×20 · H&E · 15 image tiles from a single gastric biopsy slide · 300 × 300 pixels each.
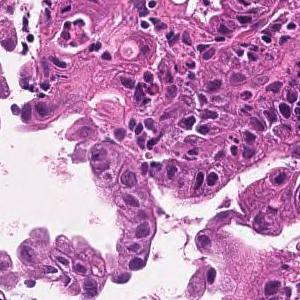
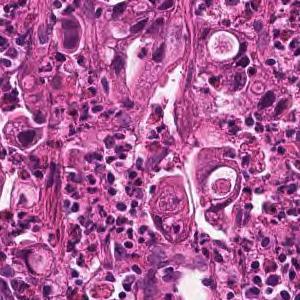
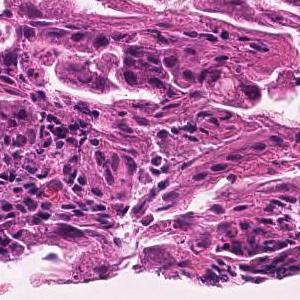
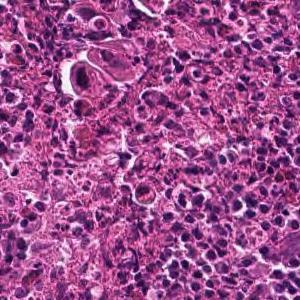
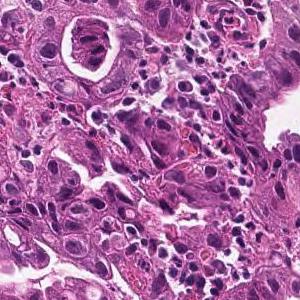
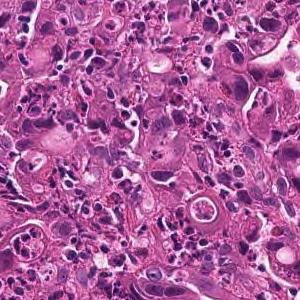
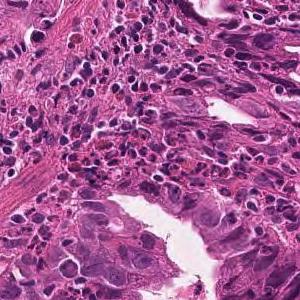
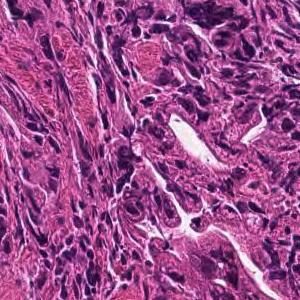
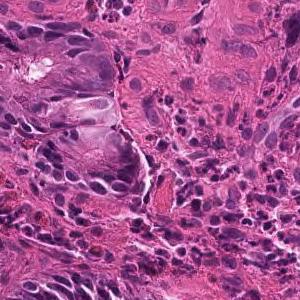
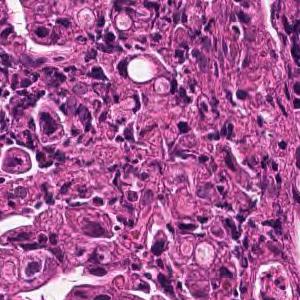
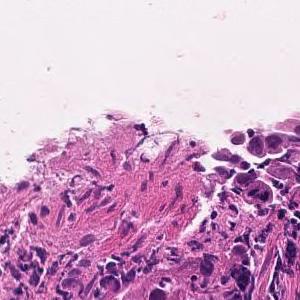
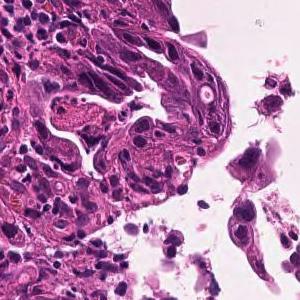
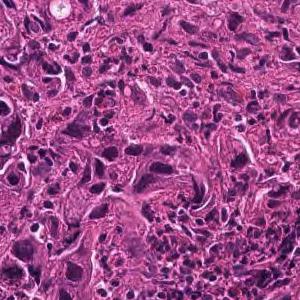
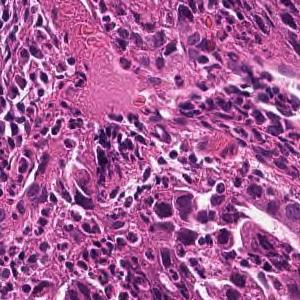
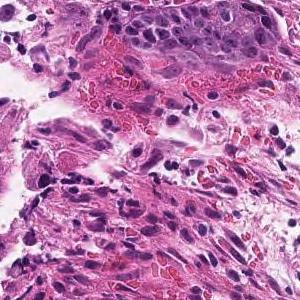
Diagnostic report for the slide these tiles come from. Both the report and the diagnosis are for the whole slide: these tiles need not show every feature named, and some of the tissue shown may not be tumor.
Medium to small, irregular glandular ducts are formed in the superficial epithelium, and in some cases, the glandular ducts are fused to show solid alveolar lesions and infiltrating tumor tissue is observed. Moderately to poorly differentiated adenocarcinoma.
